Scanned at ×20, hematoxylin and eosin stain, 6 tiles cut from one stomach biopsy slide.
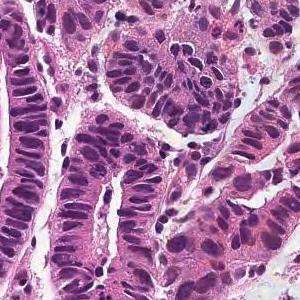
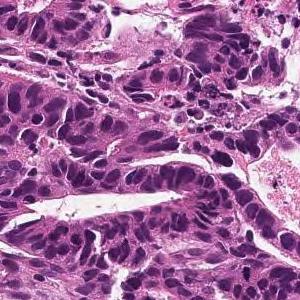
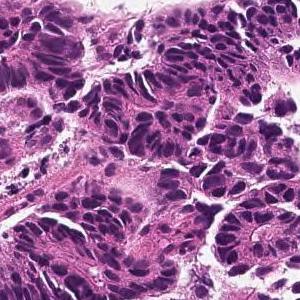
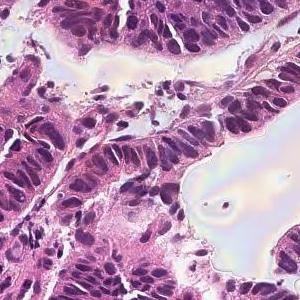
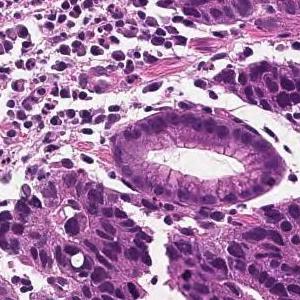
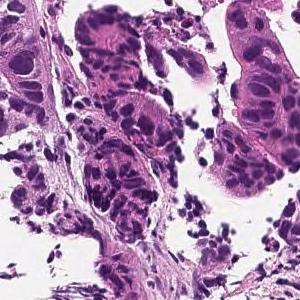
Pathology report for the slide these tiles were cut from. What the report and the diagnosis say applies to the whole slide; these tiles may miss some of the features named and may include tissue that is not tumor.
From the superficial epithelium to the muscularis mucosae, tumor tissue consisting of medium-sized and irregular glandular ducts infiltrating is observed. Well differentiated tubular adenocarcinoma
